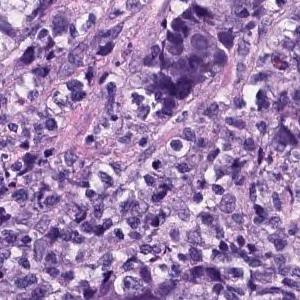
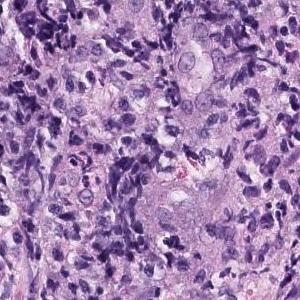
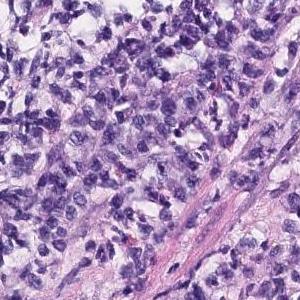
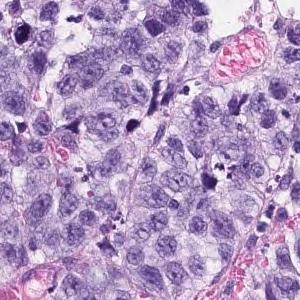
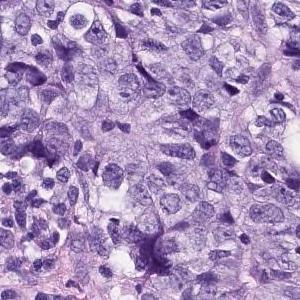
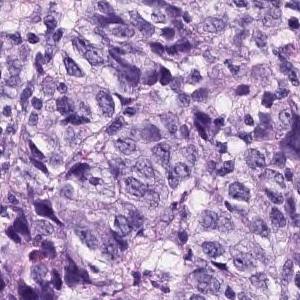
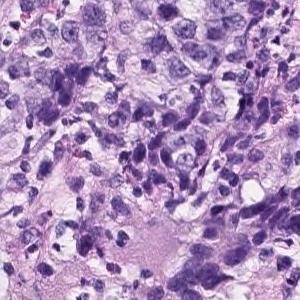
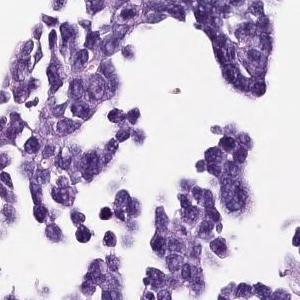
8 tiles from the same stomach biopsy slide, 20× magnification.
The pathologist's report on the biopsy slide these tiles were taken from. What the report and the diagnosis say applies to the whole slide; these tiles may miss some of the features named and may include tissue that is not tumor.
The superficial epithelium shows a large sheet-like shape, and some tumor tissue infiltrates with small irregular ducts. Poorly differentiated adenocarcinoma, solid-type
Tumor subtype: poorly differentiated adenocarcinoma, solid type, a category of the Japanese Classification of Gastric Carcinoma; in the WHO 2019 classification it is tubular adenocarcinoma, poorly differentiated.
